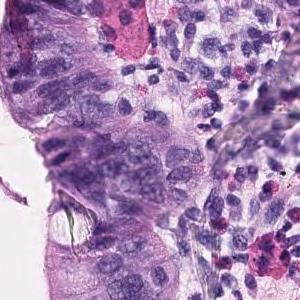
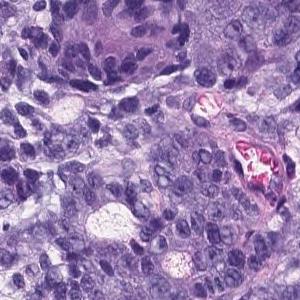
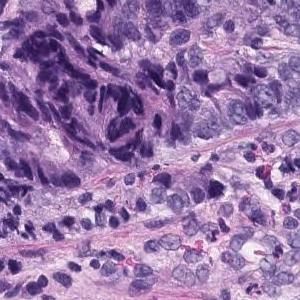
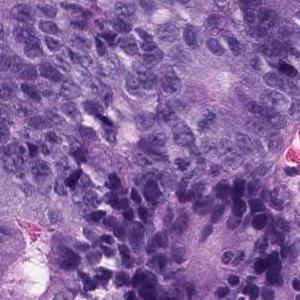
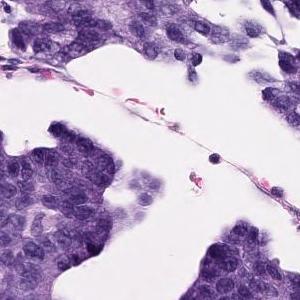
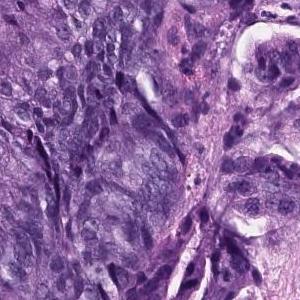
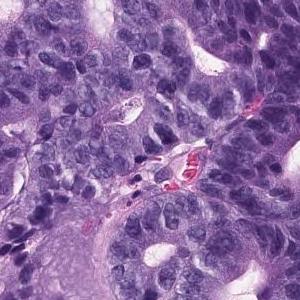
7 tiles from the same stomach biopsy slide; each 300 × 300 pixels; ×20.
Report on the slide these tiles come from. The report and the diagnosis describe the slide as a whole, so these tiles may not show every feature named and may include non-tumor tissue.
In the superficial epithelium, tumor tissue that invades by forming medium-sized to small, irregular ducts is observed. Well to moderately differentiated tubular adenocarcinoma.
